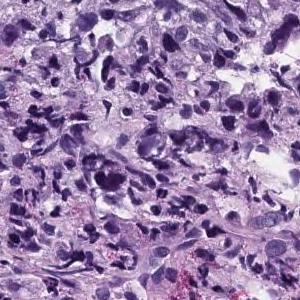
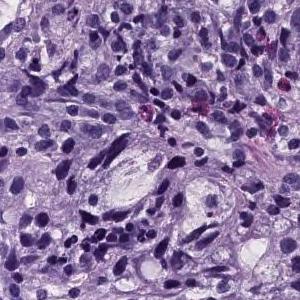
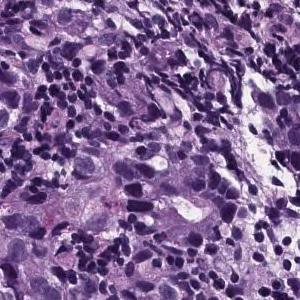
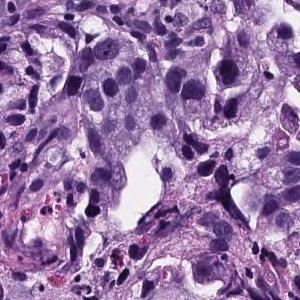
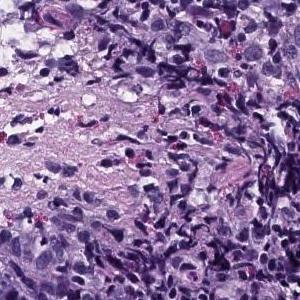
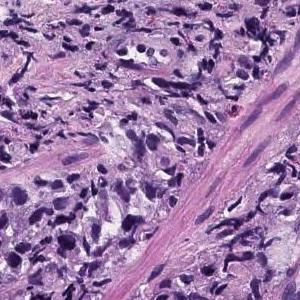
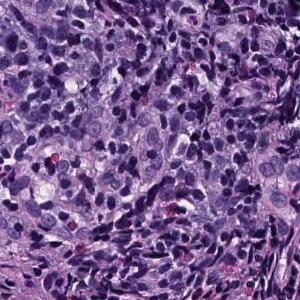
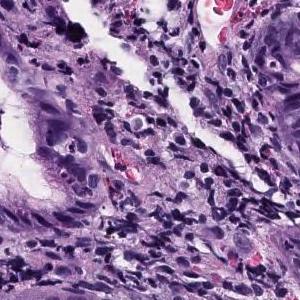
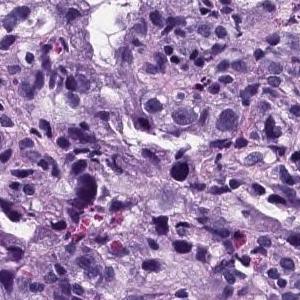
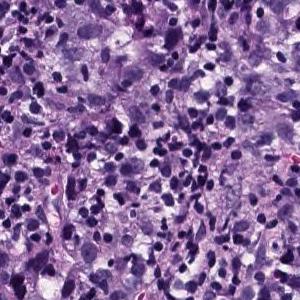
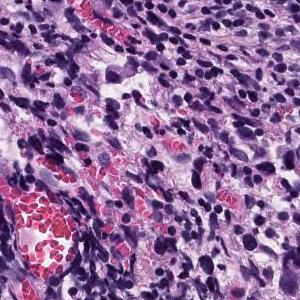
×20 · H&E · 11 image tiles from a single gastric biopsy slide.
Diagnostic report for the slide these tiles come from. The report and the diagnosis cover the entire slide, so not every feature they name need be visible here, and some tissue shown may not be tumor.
Atypical epithelial cells infiltrating and proliferating while forming solid or cord-like fused glandular cavities of different sizes is observed. moderately differentiated tubular adenocarcinoma, poorly differentiated adenocarcinoma.
Classified as moderately to poorly differentiated adenocarcinoma.
